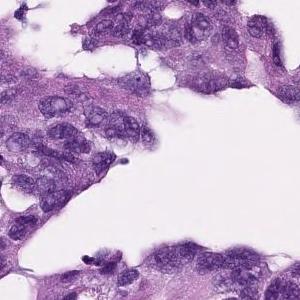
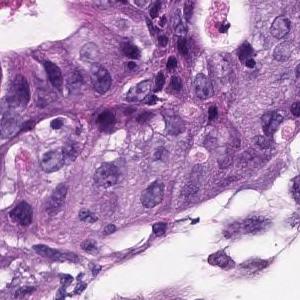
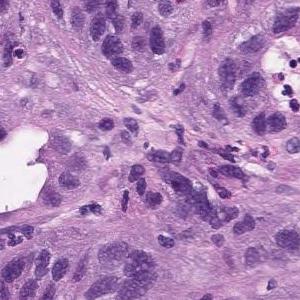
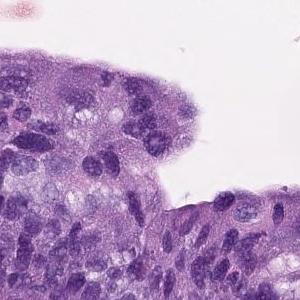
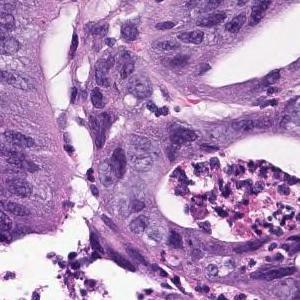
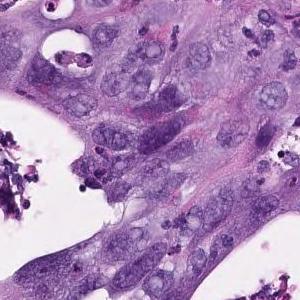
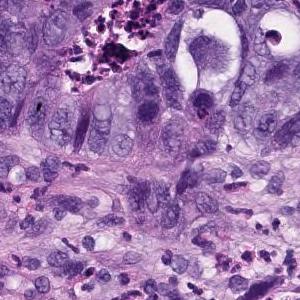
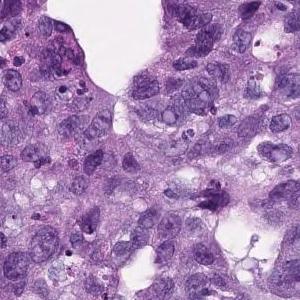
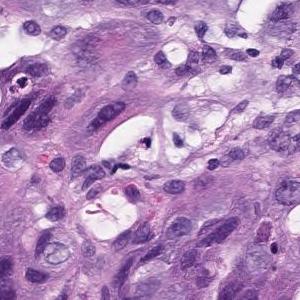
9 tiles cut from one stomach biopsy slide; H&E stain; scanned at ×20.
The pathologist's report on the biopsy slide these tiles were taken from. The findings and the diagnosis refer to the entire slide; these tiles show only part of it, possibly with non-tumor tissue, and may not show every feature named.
In the superficial epithelium, tumor tissue that invades by forming medium-sized to small, irregular ducts is observed. Moderately differentiated adenocarcinoma.
Subtype: Moderately differentiated tubular adenocarcinoma.
